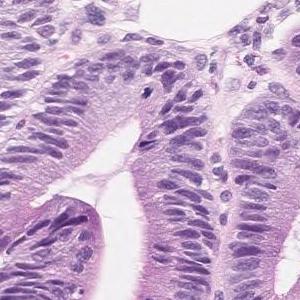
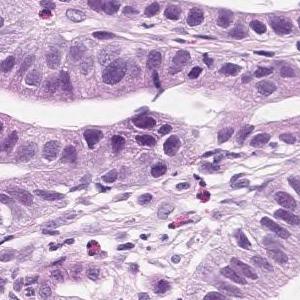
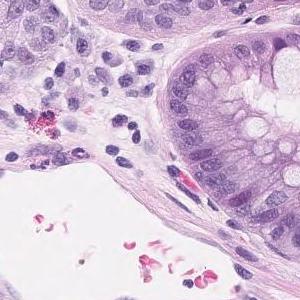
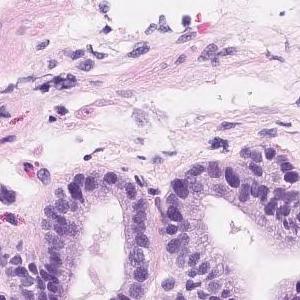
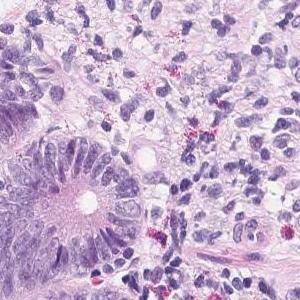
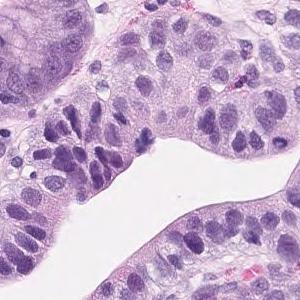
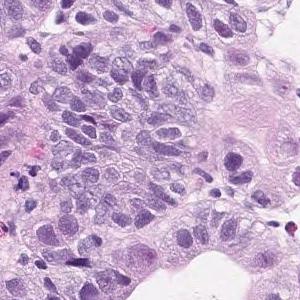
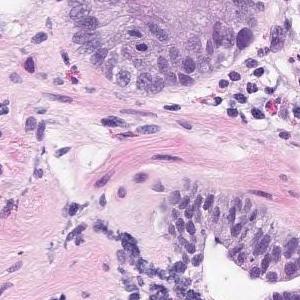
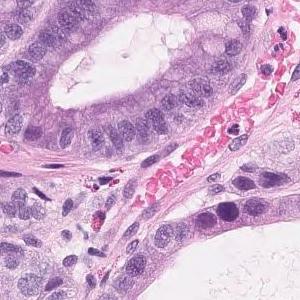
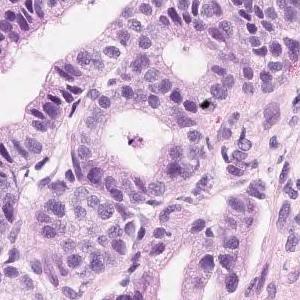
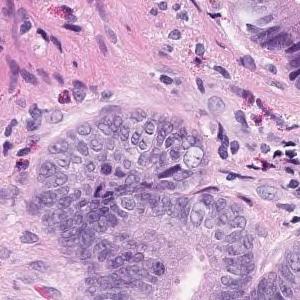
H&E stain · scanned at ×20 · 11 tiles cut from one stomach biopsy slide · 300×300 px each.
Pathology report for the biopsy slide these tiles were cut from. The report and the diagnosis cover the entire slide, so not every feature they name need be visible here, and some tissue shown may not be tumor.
Short atypical epithelium with swelling of the nucleus shows proliferating, large and small irregular ductal structures. Well to moderately differentiated tubular adenocarcinoma (well differentiated tubular adenocarcinoma-moderately differentiated tubular adenocarcinoma)
Histological subtype: Well to moderately differentiated tubular adenocarcinoma.
